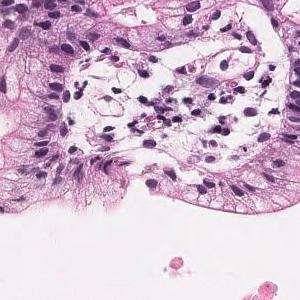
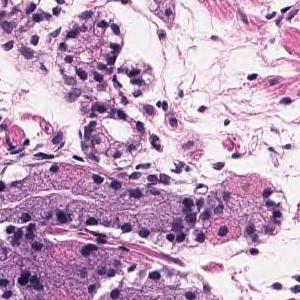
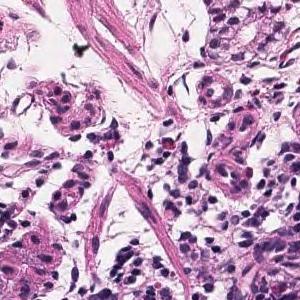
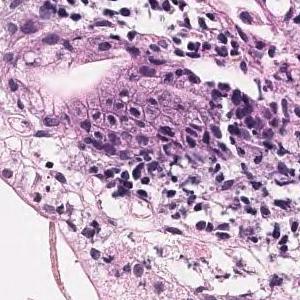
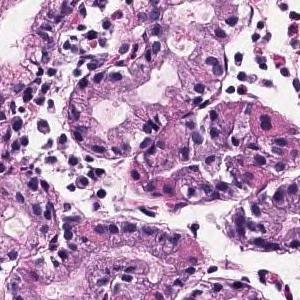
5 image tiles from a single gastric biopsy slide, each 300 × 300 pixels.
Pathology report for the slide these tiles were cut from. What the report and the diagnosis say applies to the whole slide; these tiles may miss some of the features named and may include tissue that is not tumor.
Tumor tissue that grows and grows is observed, showing a medium-sized round or irregular duct. moderately differentiated tubular adenocarcinoma
